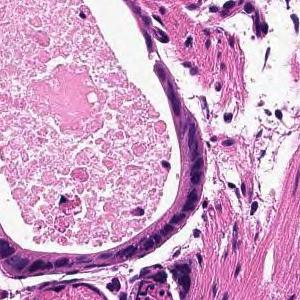
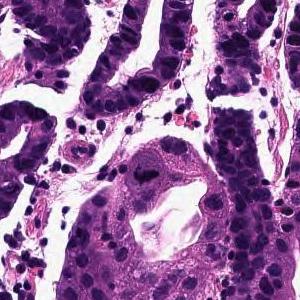
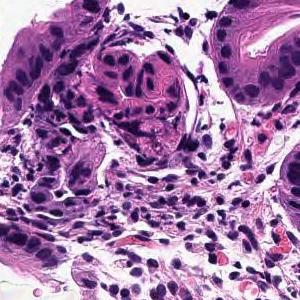
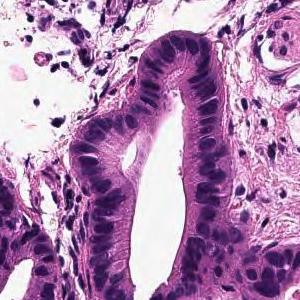
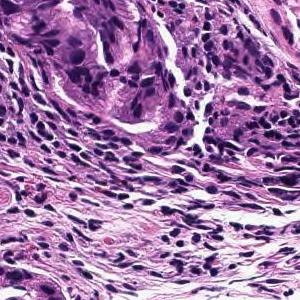
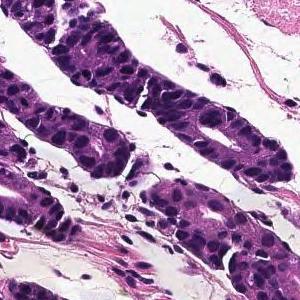
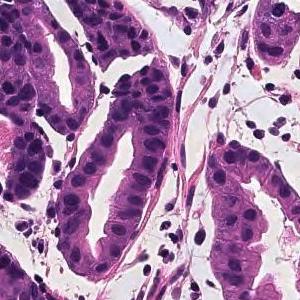
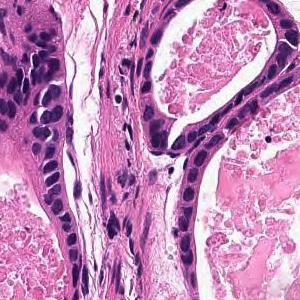
8 tiles cut from one stomach biopsy slide; ×20; H&E.
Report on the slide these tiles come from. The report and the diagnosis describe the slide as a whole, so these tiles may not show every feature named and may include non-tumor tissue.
From the superficial epithelium to the muscularis mucosae, tumor tissue consisting of medium-sized and irregular glandular ducts infiltrating is observed. Well differentiated tubular adenocarcinoma
